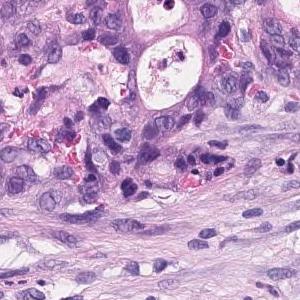
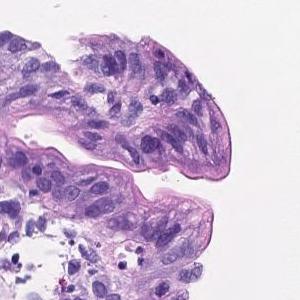
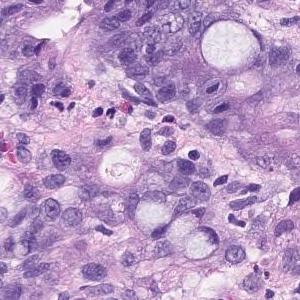
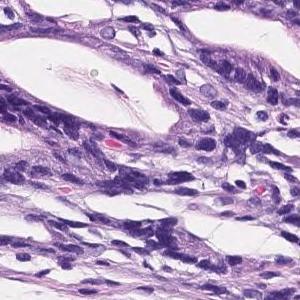
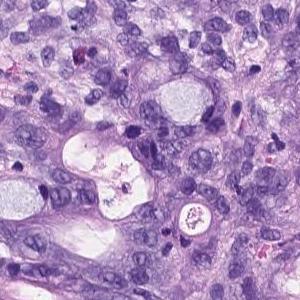
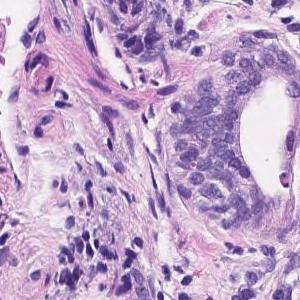
H&E · scanned at ×20 · 6 tiles cut from one stomach biopsy slide.
The pathologist's report on the biopsy slide these tiles were taken from. The report describes the whole slide, diagnosis included: not every finding it names need appear in these tiles, which may also show non-tumor tissue.
Irregularly fused atypical ducts proliferating while replacing existing ducts was observed. moderately differentiated tubular adenocarcinoma
